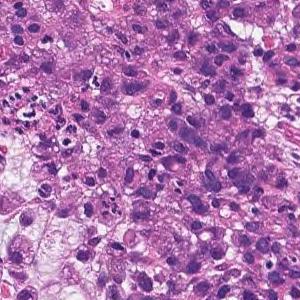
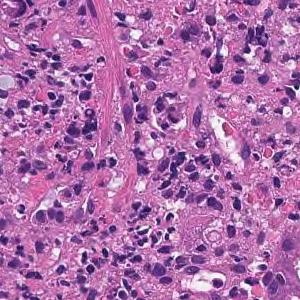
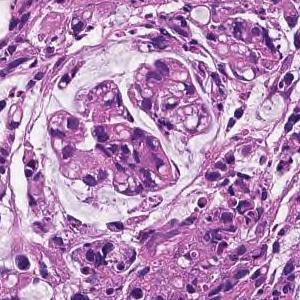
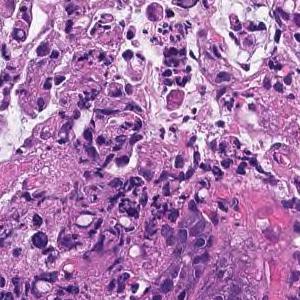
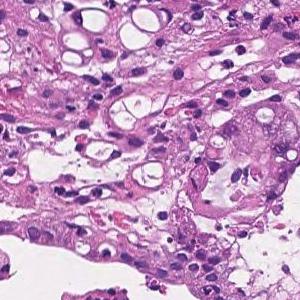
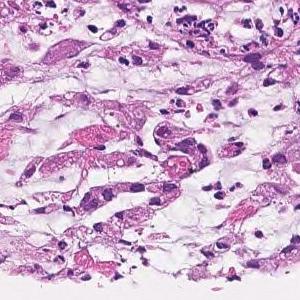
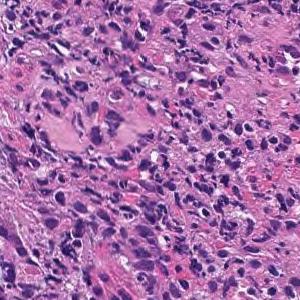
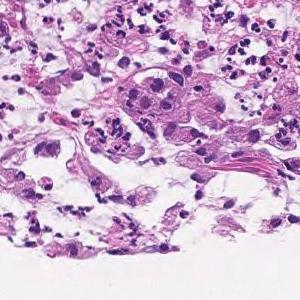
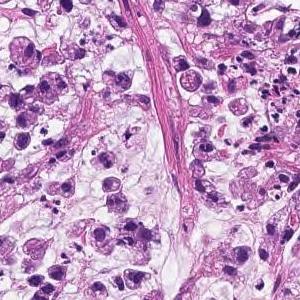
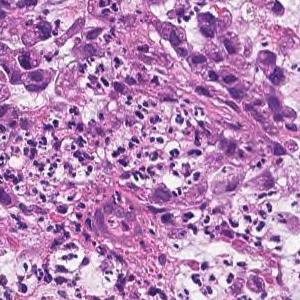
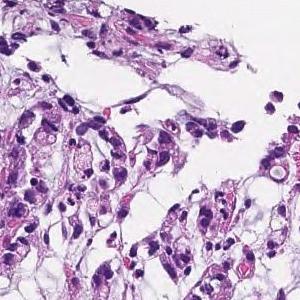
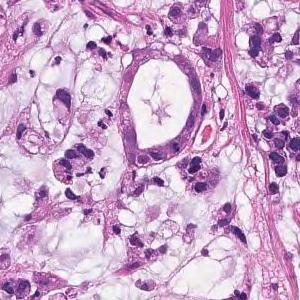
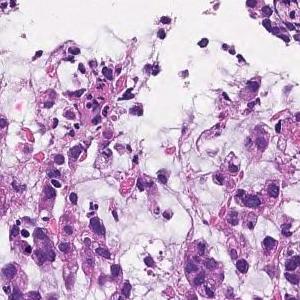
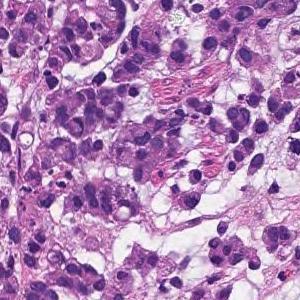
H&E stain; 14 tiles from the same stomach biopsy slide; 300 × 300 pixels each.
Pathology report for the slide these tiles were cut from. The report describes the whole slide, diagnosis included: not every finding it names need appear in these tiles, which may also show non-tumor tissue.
Tumor tissue consisting of cord-like or small, irregular glandular ducts fused and infiltrated is observed in the superficial epithelium. Poorly differentiated adenocarcinoma, non-solid type
The term "non-solid type" comes from the Japanese Classification of Gastric Carcinoma.
